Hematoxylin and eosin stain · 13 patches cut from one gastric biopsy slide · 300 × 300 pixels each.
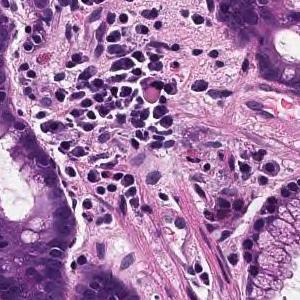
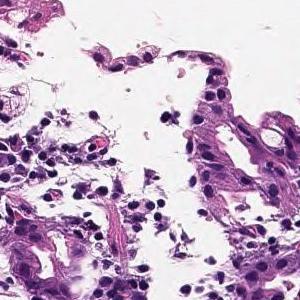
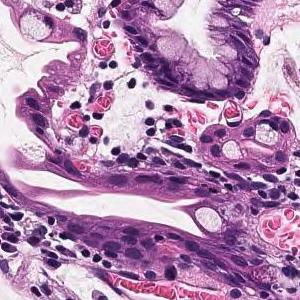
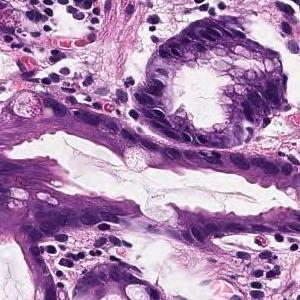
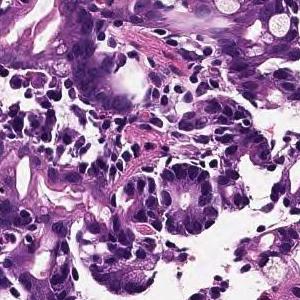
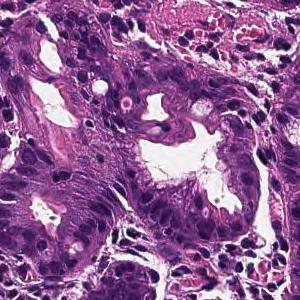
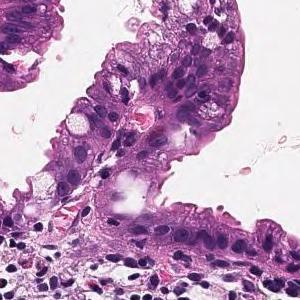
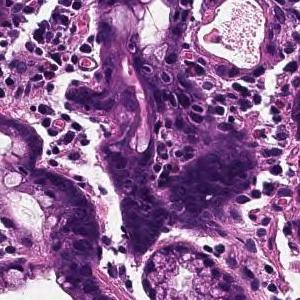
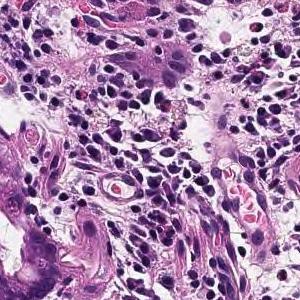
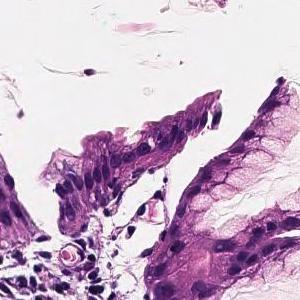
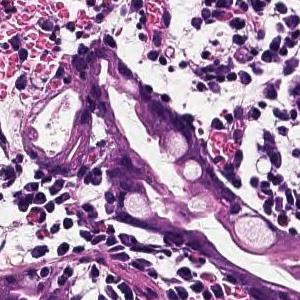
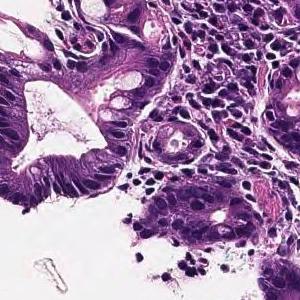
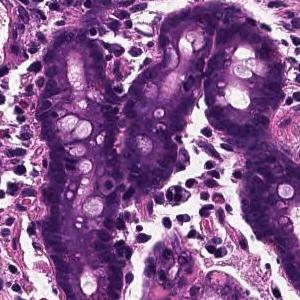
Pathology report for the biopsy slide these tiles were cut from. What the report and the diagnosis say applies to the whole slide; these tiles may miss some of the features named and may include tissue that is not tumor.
In the superficial epithelium, tumor tissue that invades by forming medium-sized to small, irregular ducts is observed. moderately differentiated tubular adenocarcinoma.
